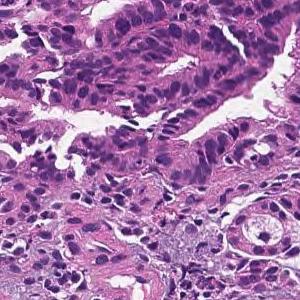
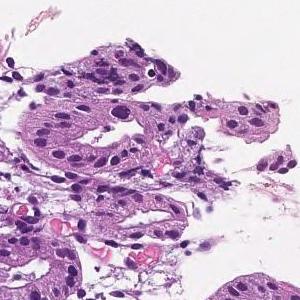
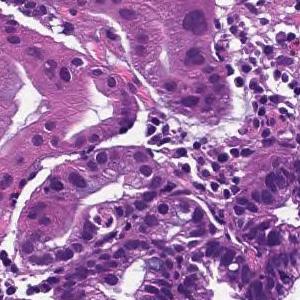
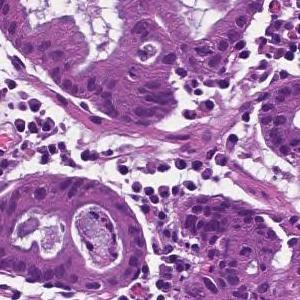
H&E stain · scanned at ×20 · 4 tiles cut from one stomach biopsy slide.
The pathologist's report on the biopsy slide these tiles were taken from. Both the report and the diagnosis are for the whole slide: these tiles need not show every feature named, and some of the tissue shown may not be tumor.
From the superficial epithelium to the muscularis mucosae, tumor tissue consisting of medium-sized and irregular glandular ducts infiltrating is observed. Well differentiated tubular adenocarcinoma
